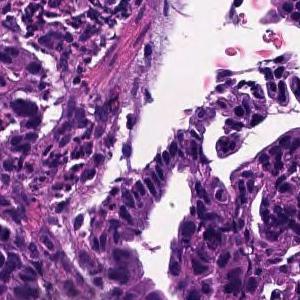
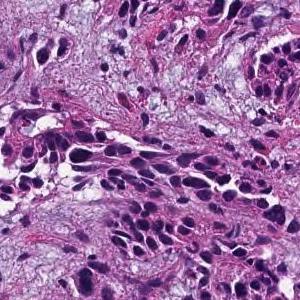
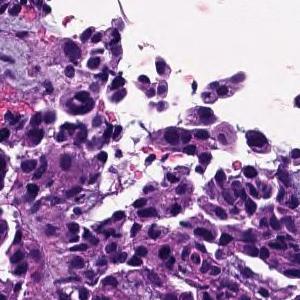
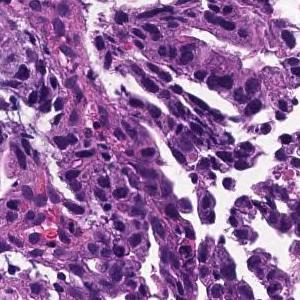
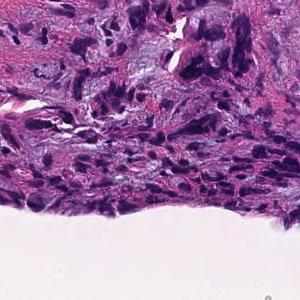
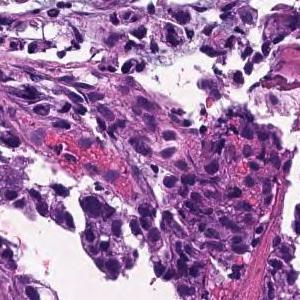
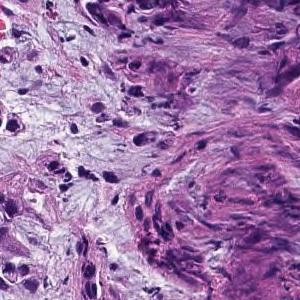
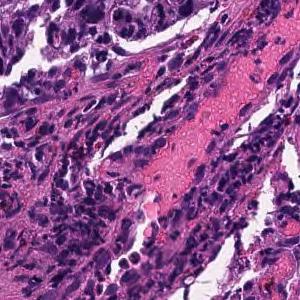
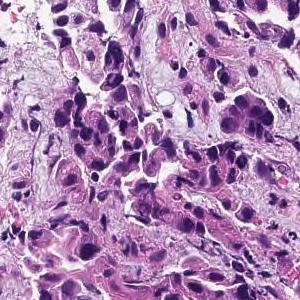
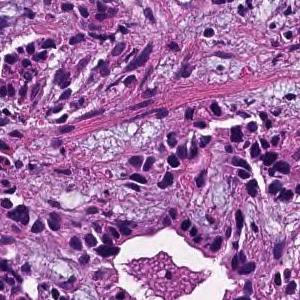
10 patches cut from one gastric biopsy slide, scanned at ×20, H&E.
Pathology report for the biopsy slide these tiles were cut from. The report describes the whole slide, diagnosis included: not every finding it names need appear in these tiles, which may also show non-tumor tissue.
Tumor tissue consisting of cord-like or small, irregular glandular ducts fused and infiltrated is observed in the superficial epithelium. Poorly differentiated adenocarcinoma, non-solid type
The term "non-solid type" comes from the Japanese Classification of Gastric Carcinoma.
